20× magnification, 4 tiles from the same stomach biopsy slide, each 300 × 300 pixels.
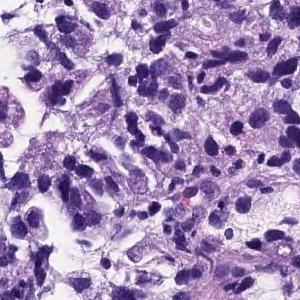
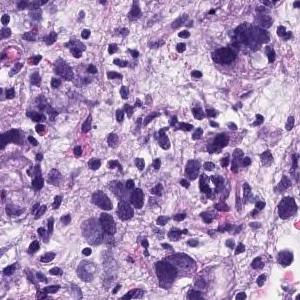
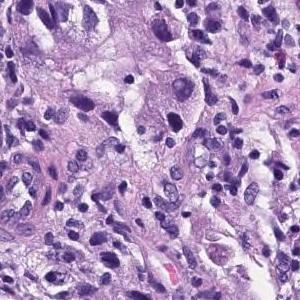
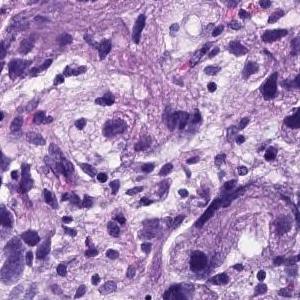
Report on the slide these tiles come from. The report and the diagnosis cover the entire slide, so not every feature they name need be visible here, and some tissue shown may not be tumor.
Medium to small, irregular glandular ducts are formed in the superficial epithelium, and in some cases, the glandular ducts are fused to show solid alveolar lesions and infiltrating tumor tissue is observed. Poorly differentiated adenocarcinoma, Moderately differentiated adenocarcinoma.
Dataset label: moderately differentiated tubular adenocarcinoma.
